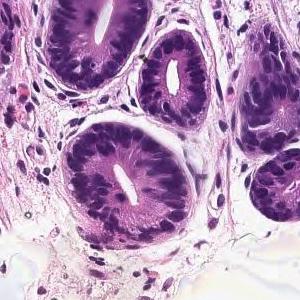
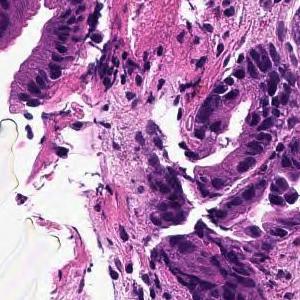
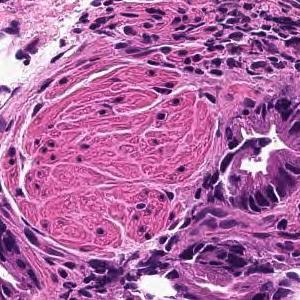
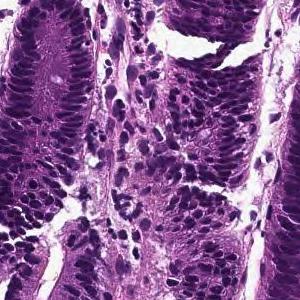
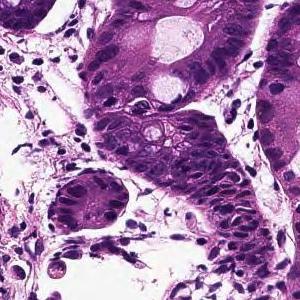
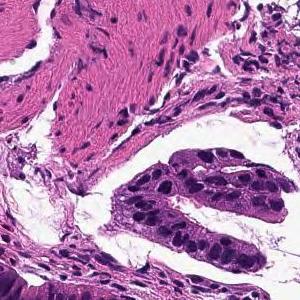
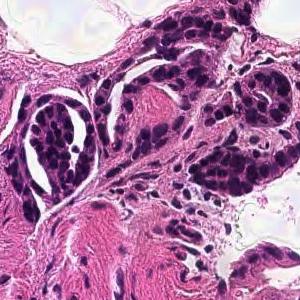
20× magnification, H&E stain, 7 patches cut from one gastric biopsy slide.
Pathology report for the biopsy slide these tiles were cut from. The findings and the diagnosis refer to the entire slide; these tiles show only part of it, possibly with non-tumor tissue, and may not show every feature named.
From the superficial epithelium to the muscularis mucosae, tumor tissue consisting of medium-sized and irregular glandular ducts infiltrating is observed. Well differentiated tubular adenocarcinoma
